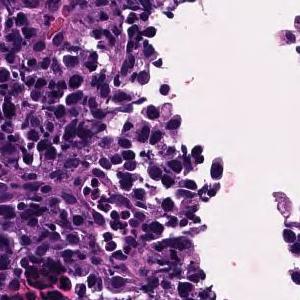
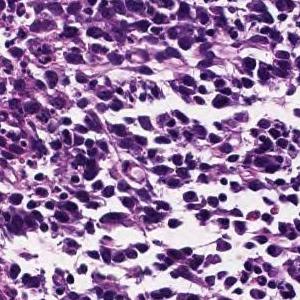
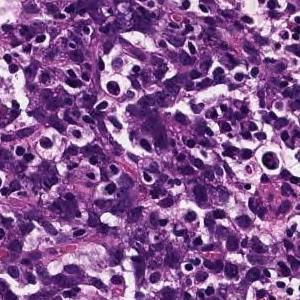
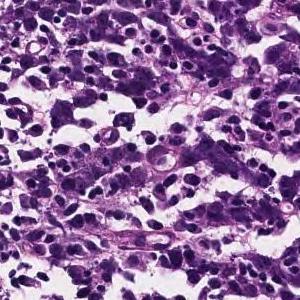
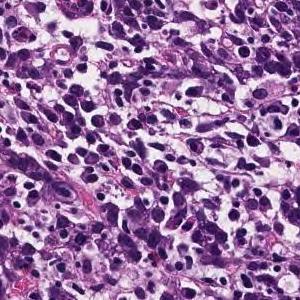
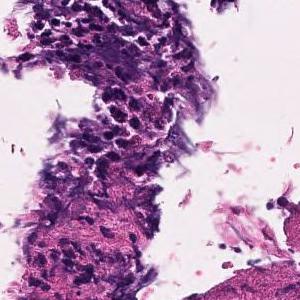
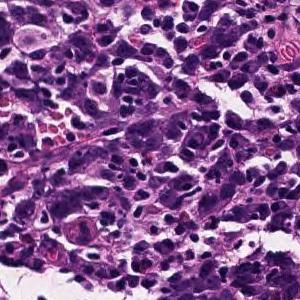
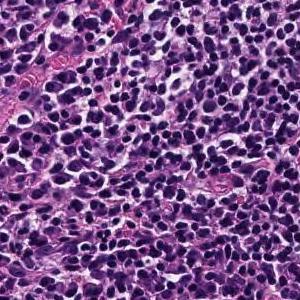
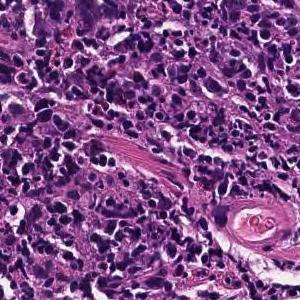
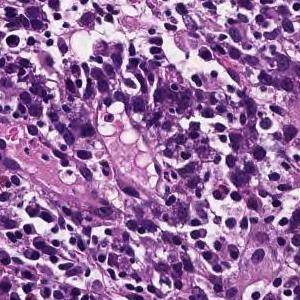
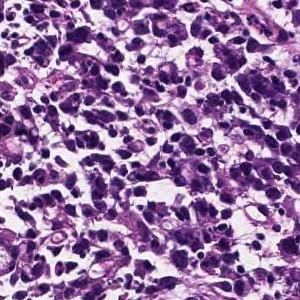
20× magnification, 11 image tiles from a single gastric biopsy slide, each 300 × 300 pixels.
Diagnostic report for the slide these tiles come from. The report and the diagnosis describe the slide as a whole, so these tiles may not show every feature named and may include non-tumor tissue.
Tumor tissue consisting of cord-like or small, irregular glandular ducts fused and infiltrated is observed in the superficial epithelium. Poorly differentiated adenocarcinoma, non-solid type
"Non-solid type" is a category of the Japanese Classification of Gastric Carcinoma.
